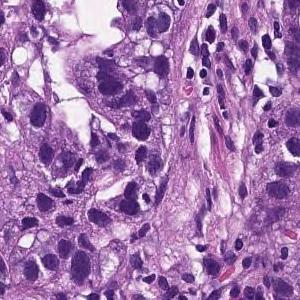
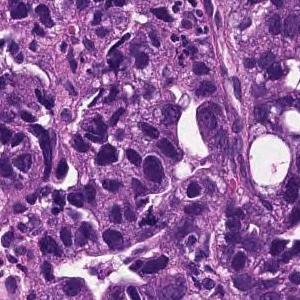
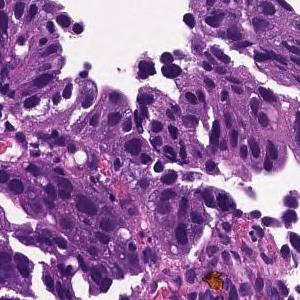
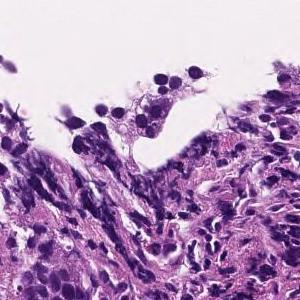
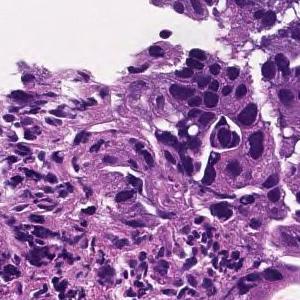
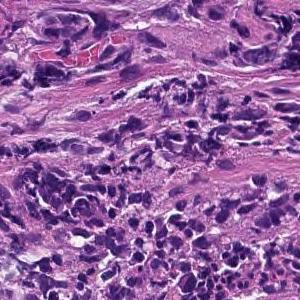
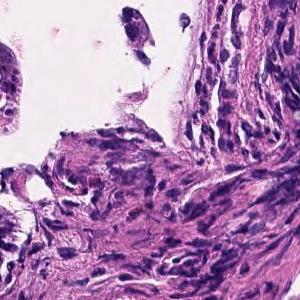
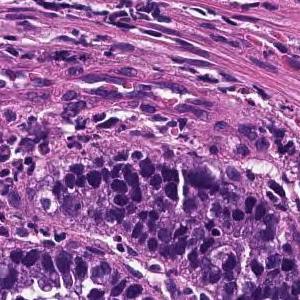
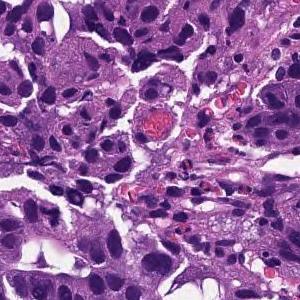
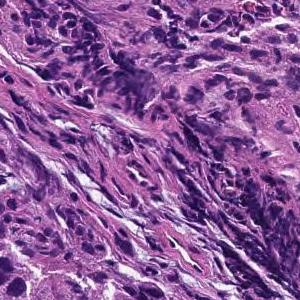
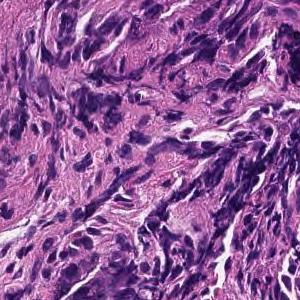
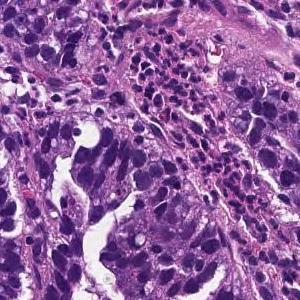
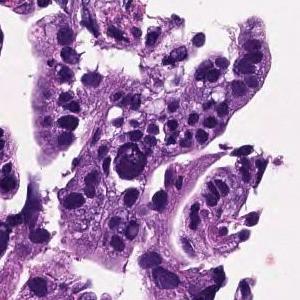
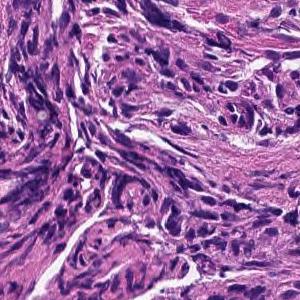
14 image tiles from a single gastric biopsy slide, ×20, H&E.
Diagnostic report for the slide these tiles come from. The report and the diagnosis cover the entire slide, so not every feature they name need be visible here, and some tissue shown may not be tumor.
Tumor tissue consisting of large papillary structures is found in the superficial epithelium. Papillary adenocarcinoma.
